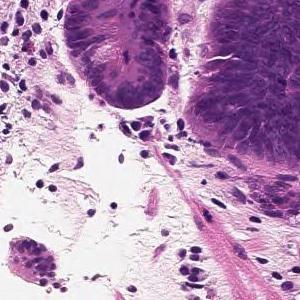
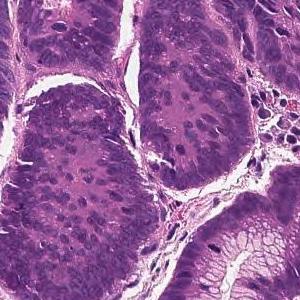
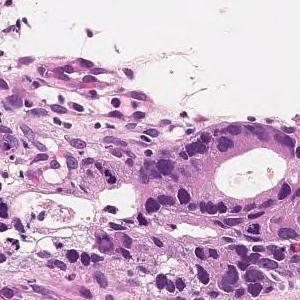
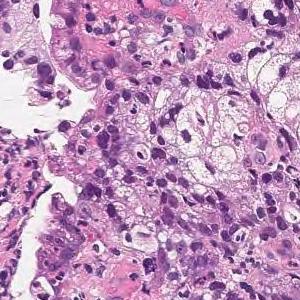
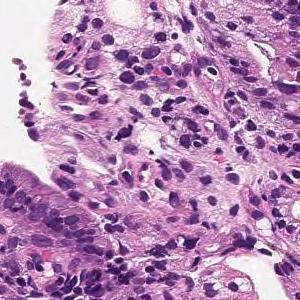
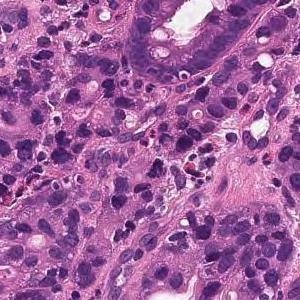
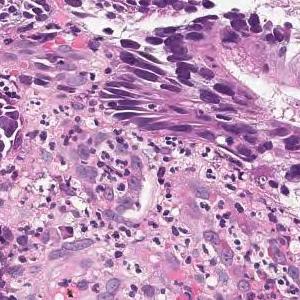
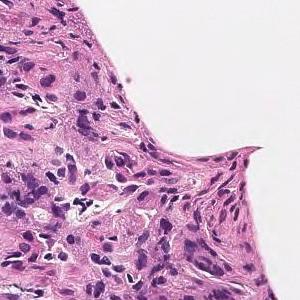
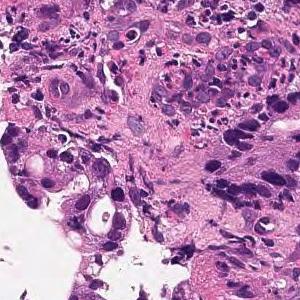
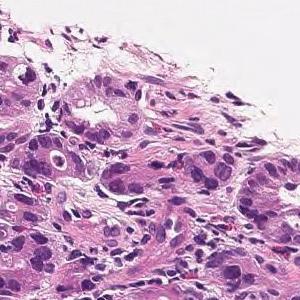
10 image tiles from a single gastric biopsy slide · scanned at ×20.
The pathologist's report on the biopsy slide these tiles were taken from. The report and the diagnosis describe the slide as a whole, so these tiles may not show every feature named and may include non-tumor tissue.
In the superficial epithelium, medium to small irregular gland ducts are formed, and in some cases, the ducts are fused to show solid alveolar lesions and infiltrating tumor tissue is observed. moderately differentiated tubular adenocarcinoma or poorly differentiated adenocarcinoma, solid-type (poorly differentiated adenocarcinoma, solid type)
The dataset labels this slide poorly differentiated adenocarcinoma, solid type (Japanese Classification of Gastric Carcinoma). The WHO 2019 equivalent is tubular adenocarcinoma, poorly differentiated.
